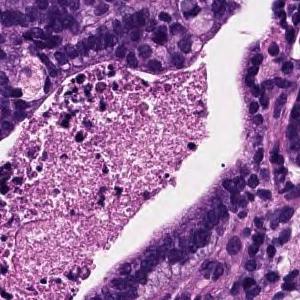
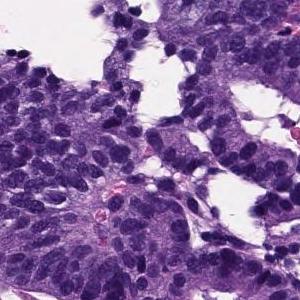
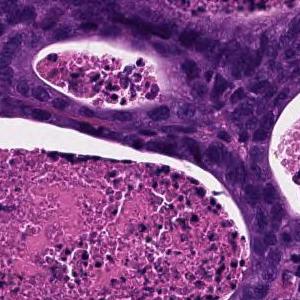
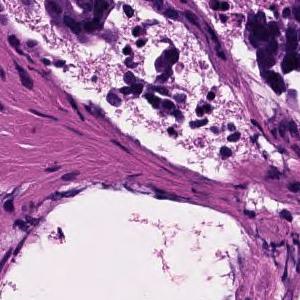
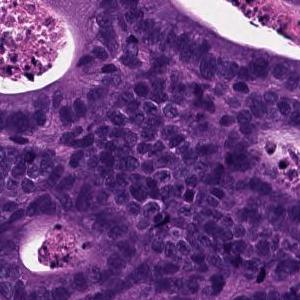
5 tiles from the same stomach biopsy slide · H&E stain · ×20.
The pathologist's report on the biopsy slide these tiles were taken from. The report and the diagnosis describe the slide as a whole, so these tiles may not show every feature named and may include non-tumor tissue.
From the superficial epithelium to the muscularis mucosae, tumor tissue consisting of medium-sized and irregular glandular ducts infiltrating is observed. Well differentiated tubular adenocarcinoma
